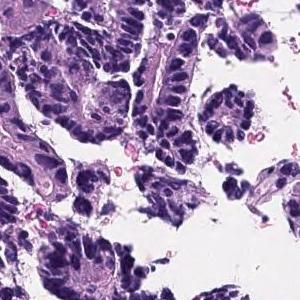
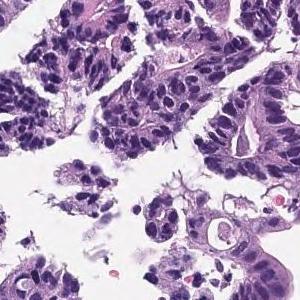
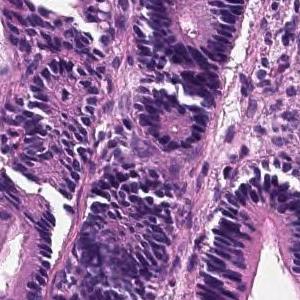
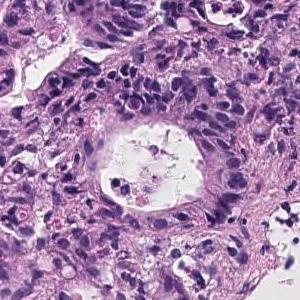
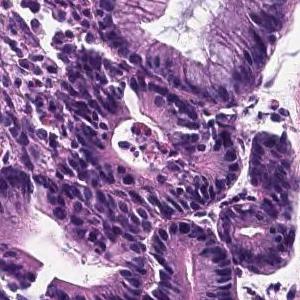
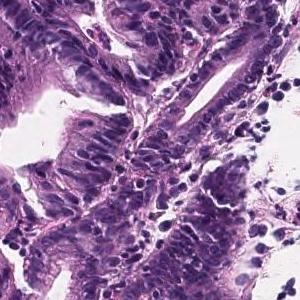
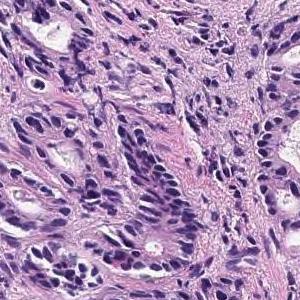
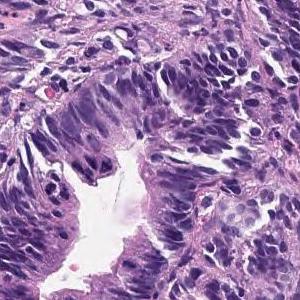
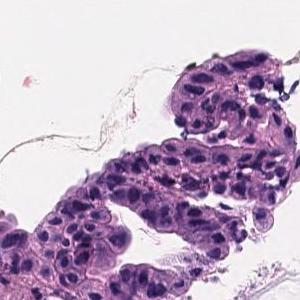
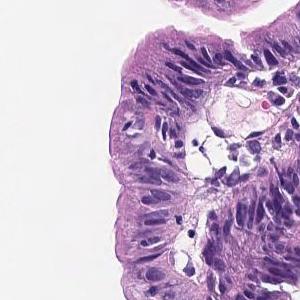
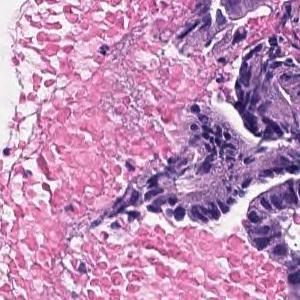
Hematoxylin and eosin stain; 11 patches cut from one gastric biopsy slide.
The pathologist's report on the biopsy slide these tiles were taken from. The findings and the diagnosis refer to the entire slide; these tiles show only part of it, possibly with non-tumor tissue, and may not show every feature named.
In the superficial epithelium, tumor tissue that invades by forming medium-sized to small, irregular ducts is observed. Moderately differentiated adenocarcinoma.
Tumor subtype: moderately differentiated tubular adenocarcinoma.
